H&E stain; 13 image tiles from a single gastric biopsy slide.
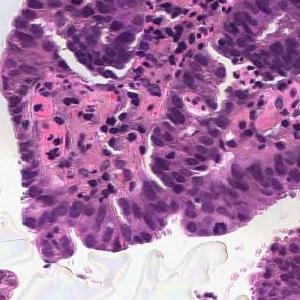
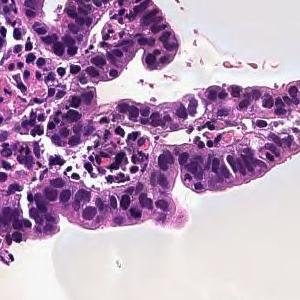
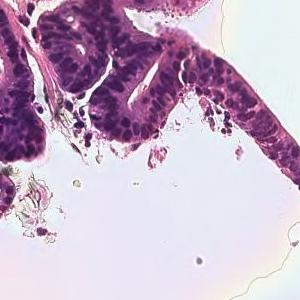
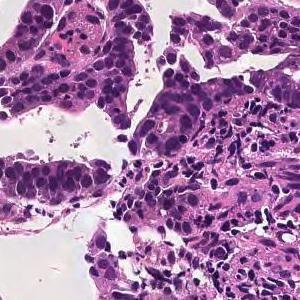
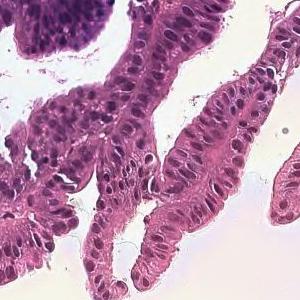
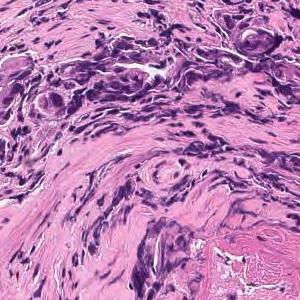
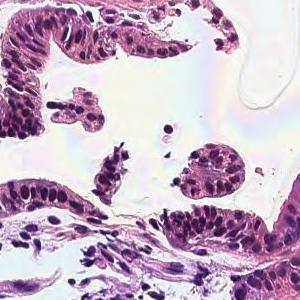
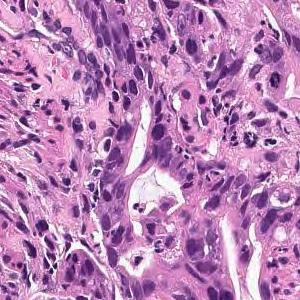
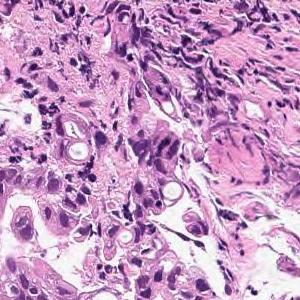
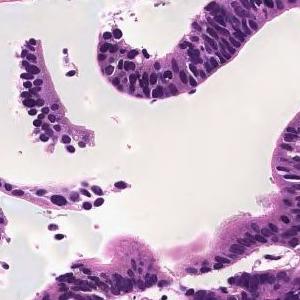
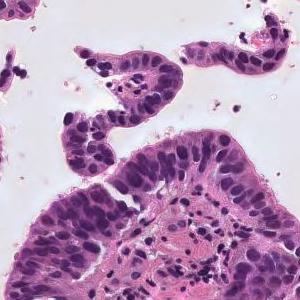
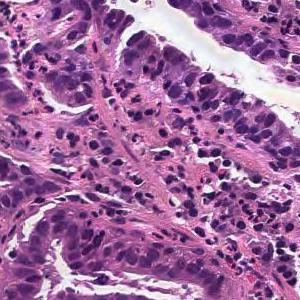
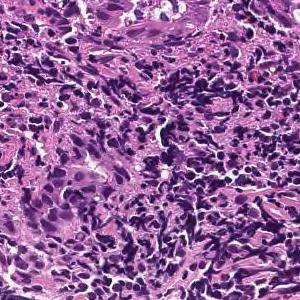
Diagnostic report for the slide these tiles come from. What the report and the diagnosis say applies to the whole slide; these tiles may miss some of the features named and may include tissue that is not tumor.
From the superficial epithelium to the muscularis mucosae, tumor tissue consisting of medium-sized and irregular glandular ducts infiltrating is observed. Well differentiated tubular adenocarcinoma
